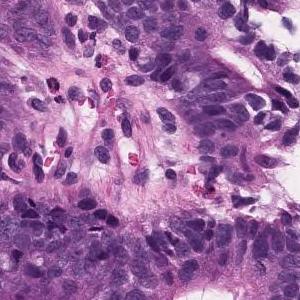
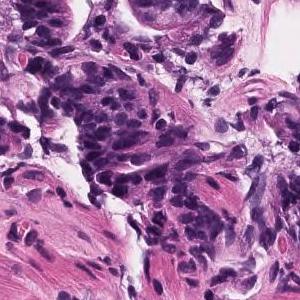
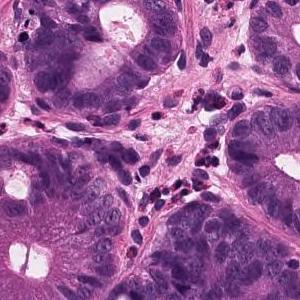
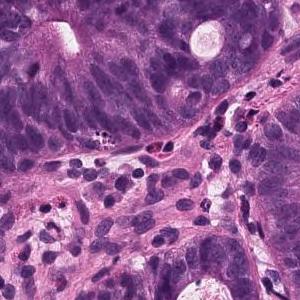
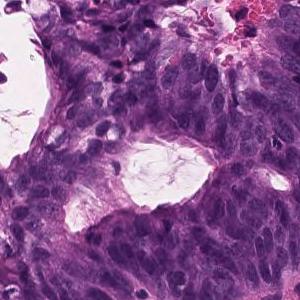
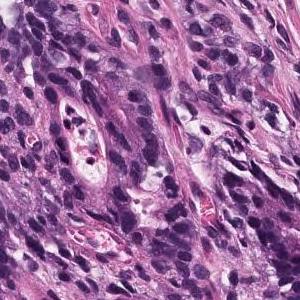
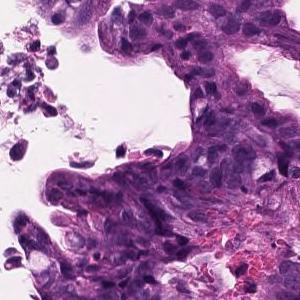
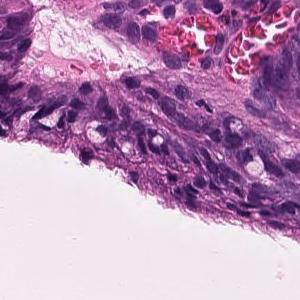
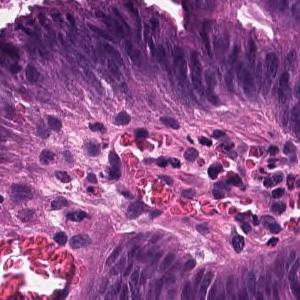
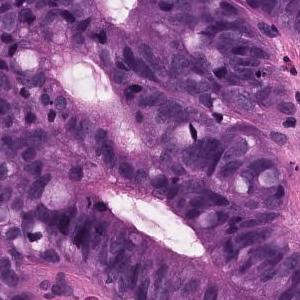
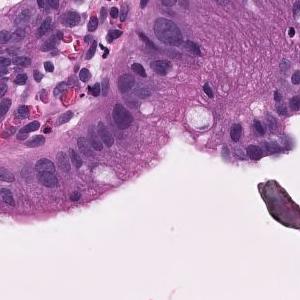
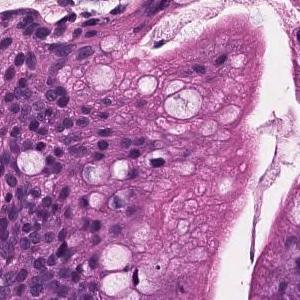
H&E stain · scanned at ×20 · 12 patches cut from one gastric biopsy slide.
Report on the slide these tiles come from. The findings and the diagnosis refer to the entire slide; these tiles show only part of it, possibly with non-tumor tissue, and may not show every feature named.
Atypical ducts proliferating while irregularly fusing in the lateral direction is observed. Well differentiated tubular adenocarcinoma
